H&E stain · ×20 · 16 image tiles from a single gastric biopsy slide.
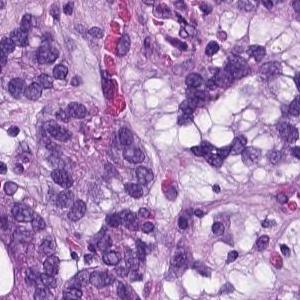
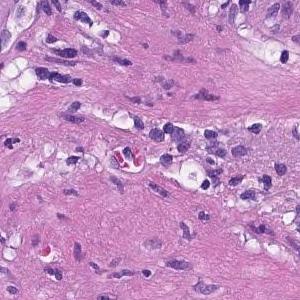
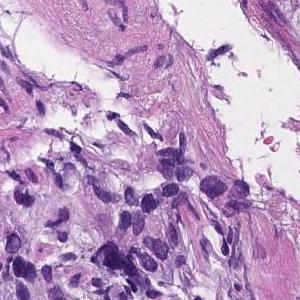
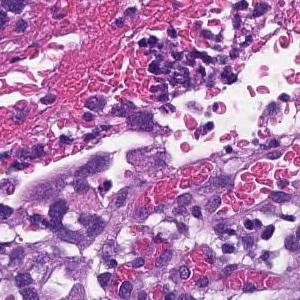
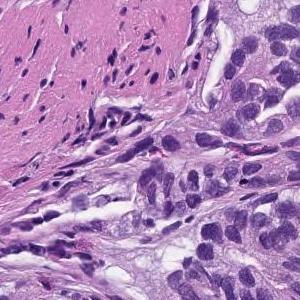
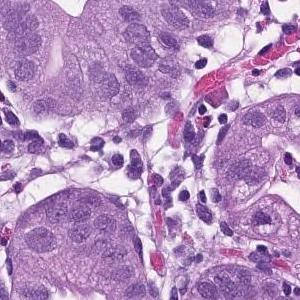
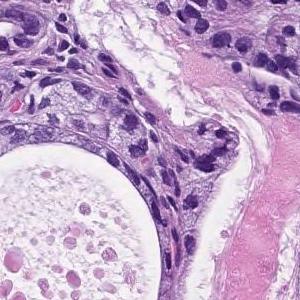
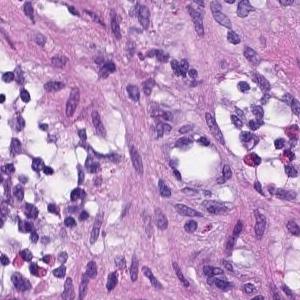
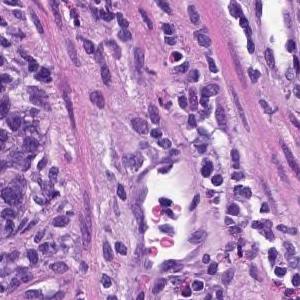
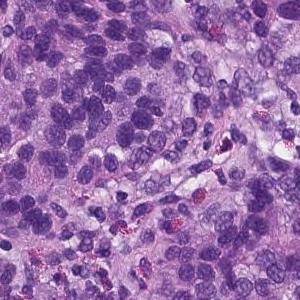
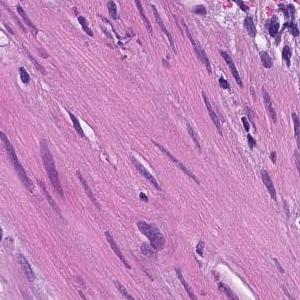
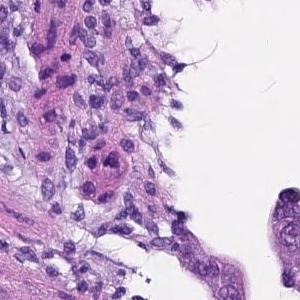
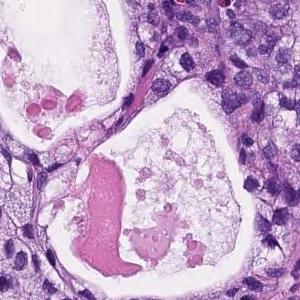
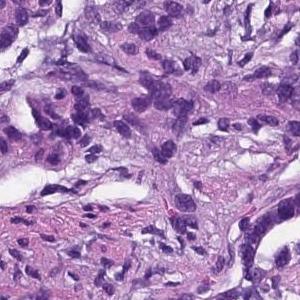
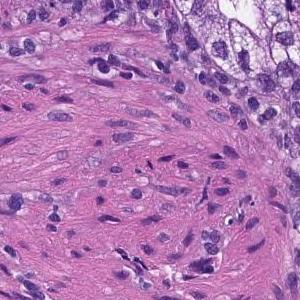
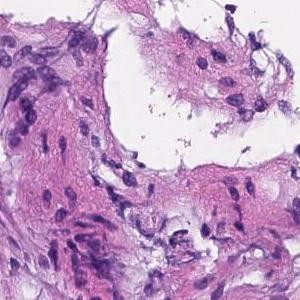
Diagnostic report for the slide these tiles come from. The report describes the whole slide, diagnosis included: not every finding it names need appear in these tiles, which may also show non-tumor tissue.
From the superficial epithelium to the muscularis mucosae, tumor tissue consisting of medium-sized and irregular glandular ducts infiltrating is observed. Well differentiated tubular adenocarcinoma
